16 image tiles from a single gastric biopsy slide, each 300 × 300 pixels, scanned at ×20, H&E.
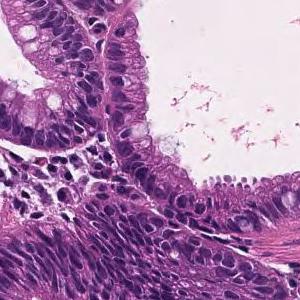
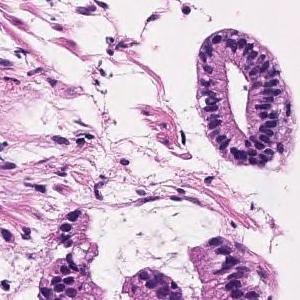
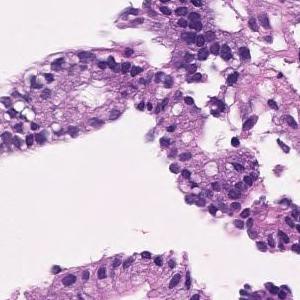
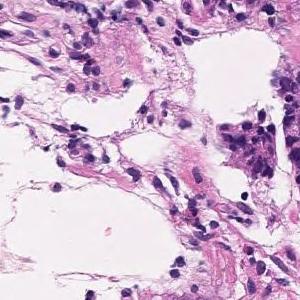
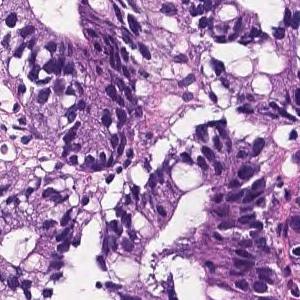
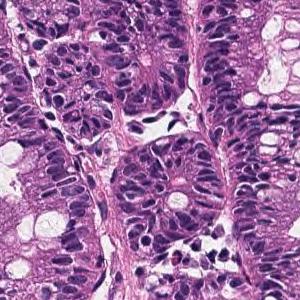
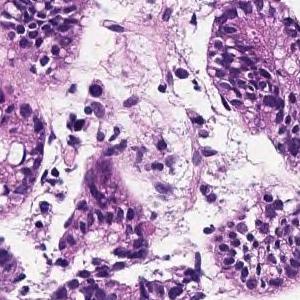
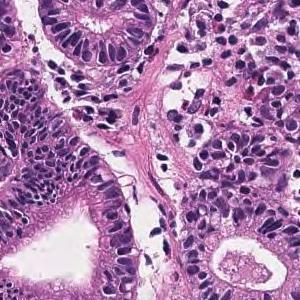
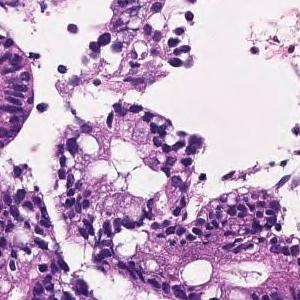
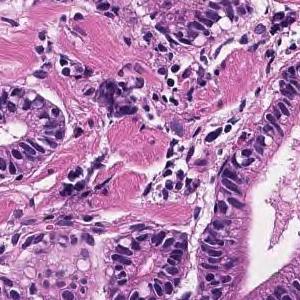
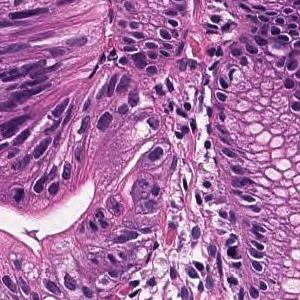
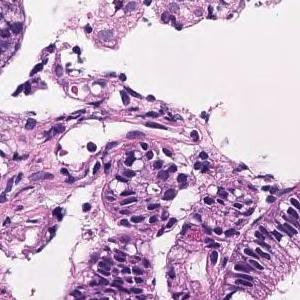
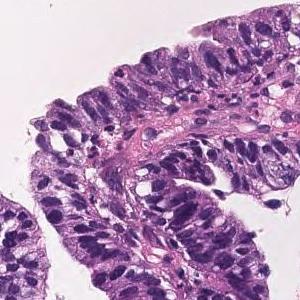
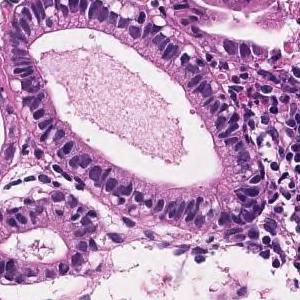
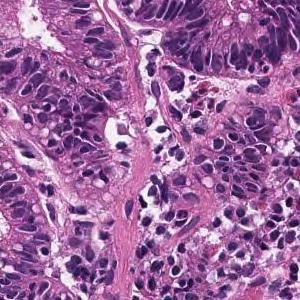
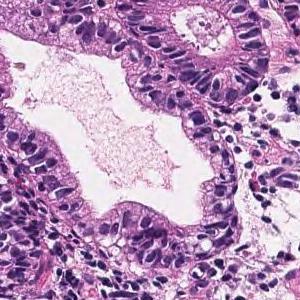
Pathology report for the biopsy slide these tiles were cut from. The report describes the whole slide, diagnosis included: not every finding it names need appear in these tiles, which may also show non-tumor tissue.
Most remain in the superficial epithelium, forming medium-sized papillary or small irregular ducts and proliferating, and some tumor tissue invades the muscularis mucosae. Papillary adenocarcinoma
